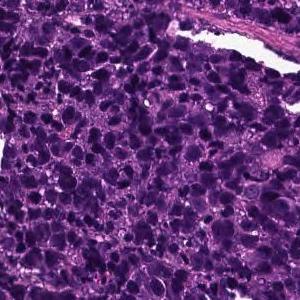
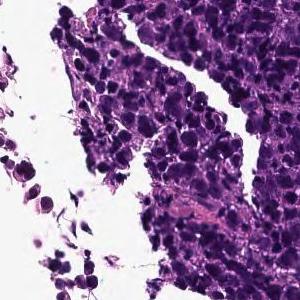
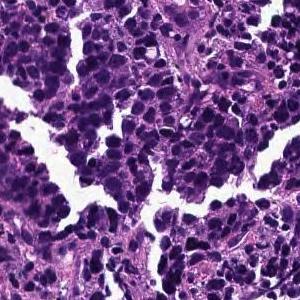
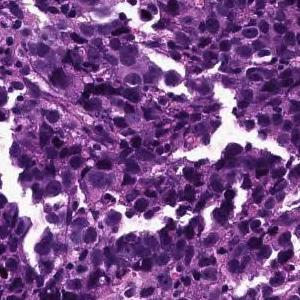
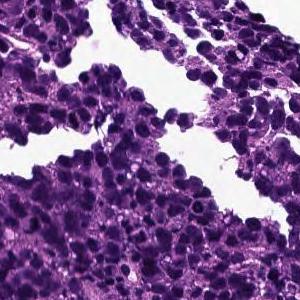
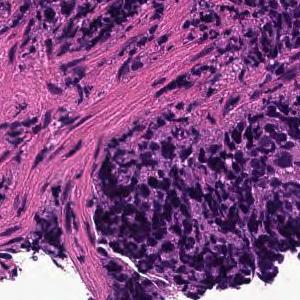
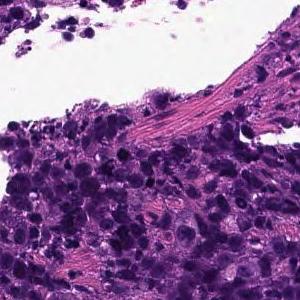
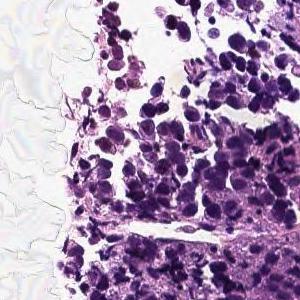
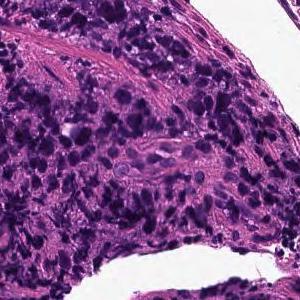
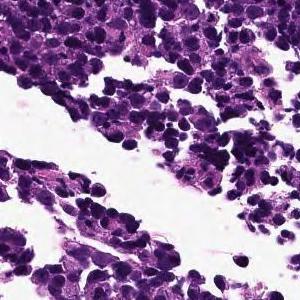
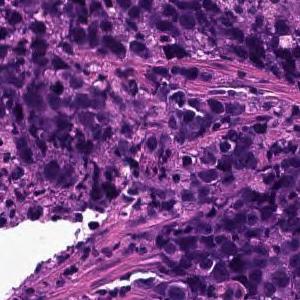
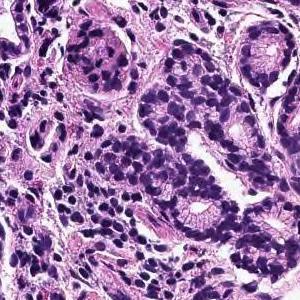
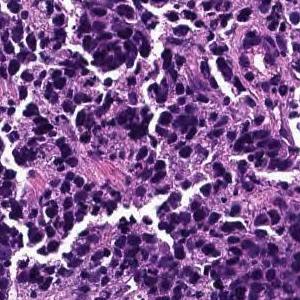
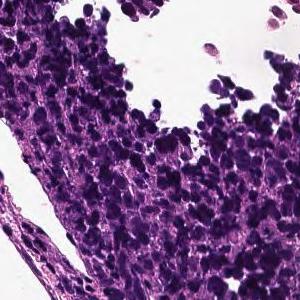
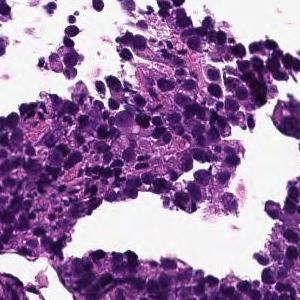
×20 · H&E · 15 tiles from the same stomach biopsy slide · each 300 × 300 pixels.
Diagnostic report for the slide these tiles come from. The report describes the whole slide, diagnosis included: not every finding it names need appear in these tiles, which may also show non-tumor tissue.
The superficial epithelium shows large alveolar or sheet-like forms, and some tumor tissue infiltrates with small irregular ducts. Poorly differentiated adenocarcinoma, solid-type
Tumor subtype: poorly differentiated adenocarcinoma, solid type. This name comes from the Japanese Classification of Gastric Carcinoma; the WHO 2019 classification calls it tubular adenocarcinoma, poorly differentiated.
